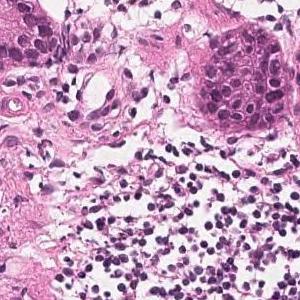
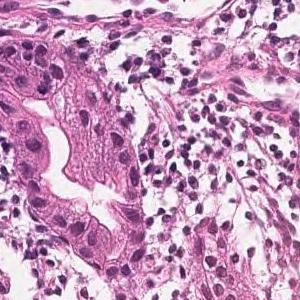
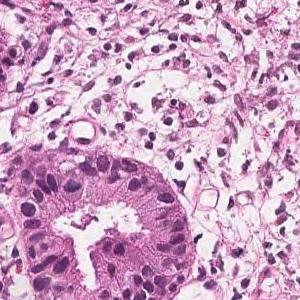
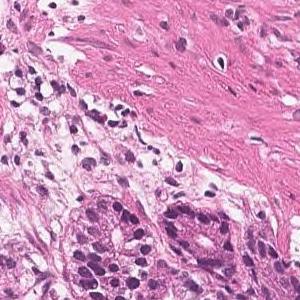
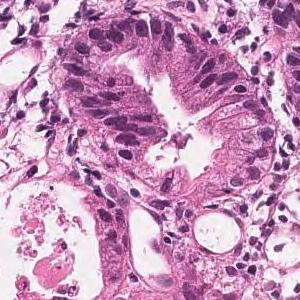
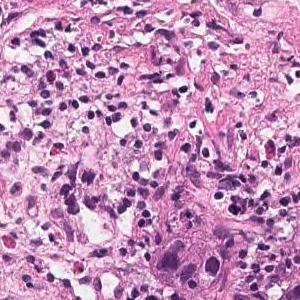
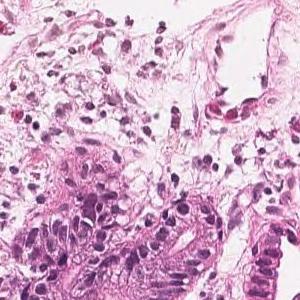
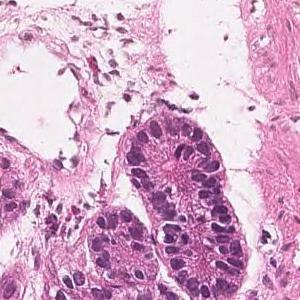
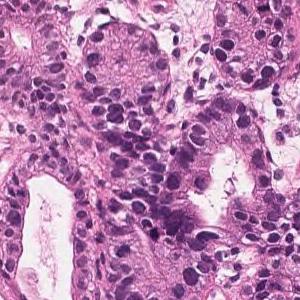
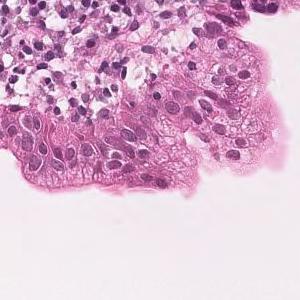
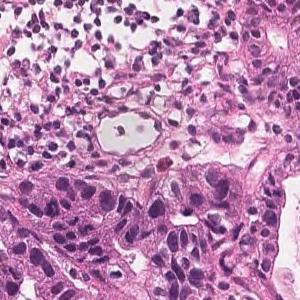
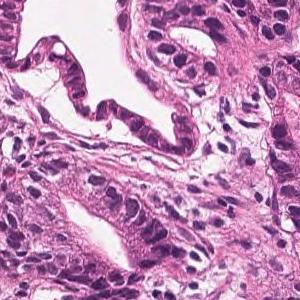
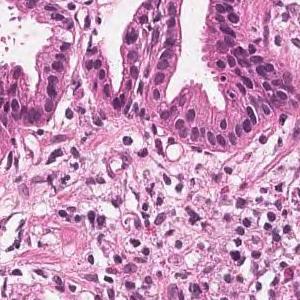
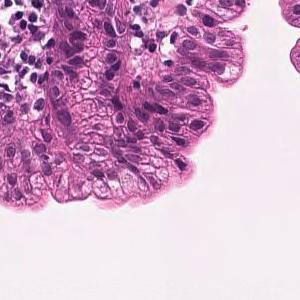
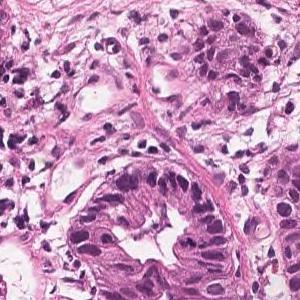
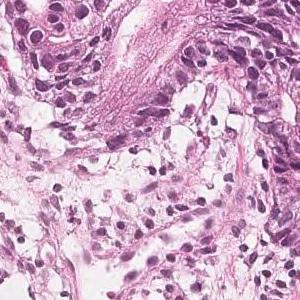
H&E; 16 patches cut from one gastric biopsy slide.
Report on the slide these tiles come from. Both the report and the diagnosis are for the whole slide: these tiles need not show every feature named, and some of the tissue shown may not be tumor.
Tumor tissue consisting of medium-sized and irregular ducts is observed infiltrating in the superficial epithelium. Tumor cells are highly columnar, with nuclei aligned basolaterally and polarized. Well differentiated tubular adenocarcinoma.
